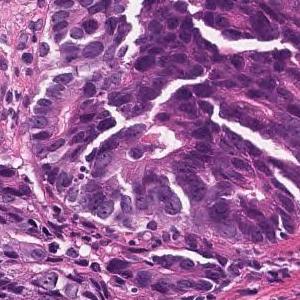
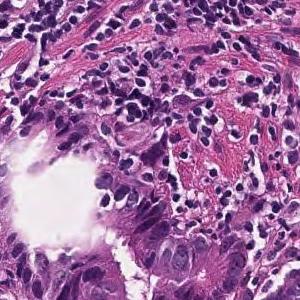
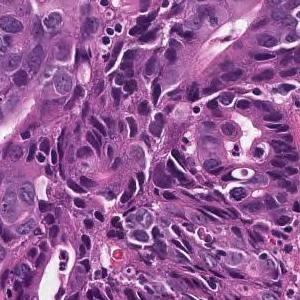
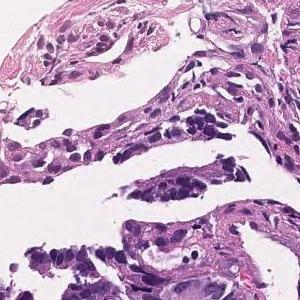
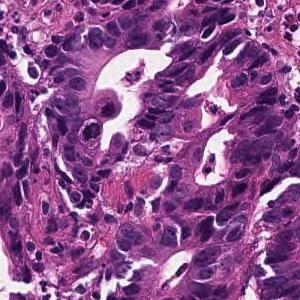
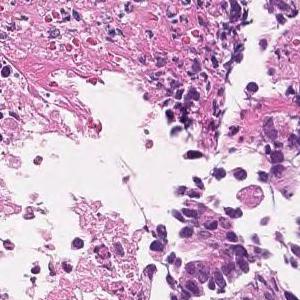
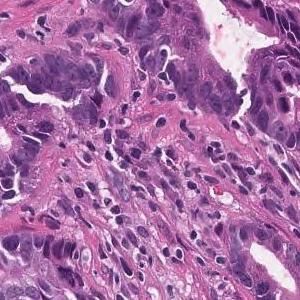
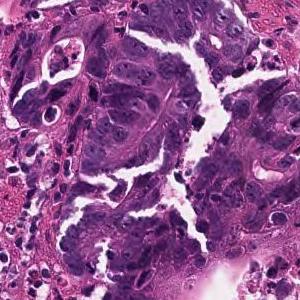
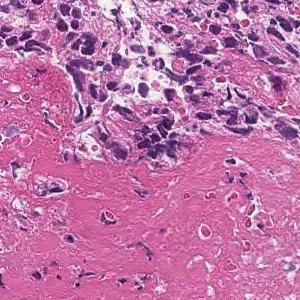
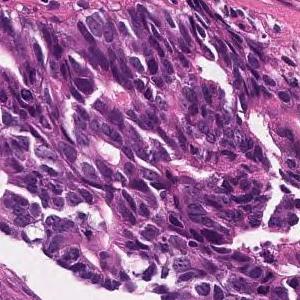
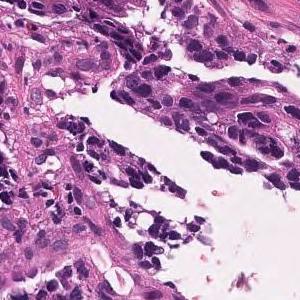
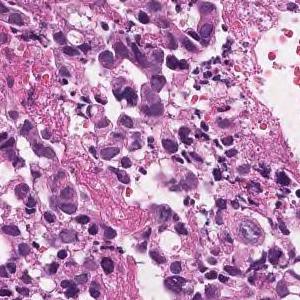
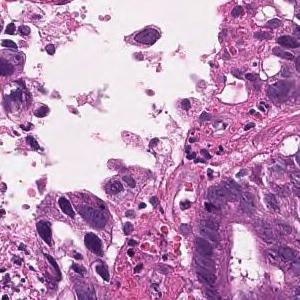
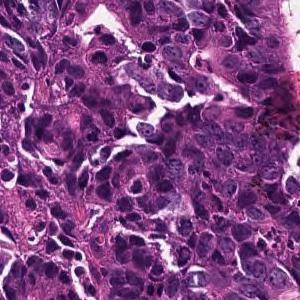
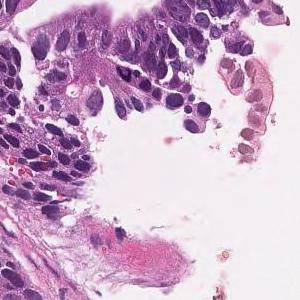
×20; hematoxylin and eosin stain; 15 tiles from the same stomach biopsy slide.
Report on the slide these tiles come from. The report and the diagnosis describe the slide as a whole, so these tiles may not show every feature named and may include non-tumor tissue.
In the superficial epithelium, tumor tissue that invades by forming medium-sized to small, irregular ducts is observed. moderately differentiated tubular adenocarcinoma.
